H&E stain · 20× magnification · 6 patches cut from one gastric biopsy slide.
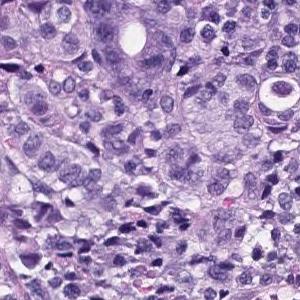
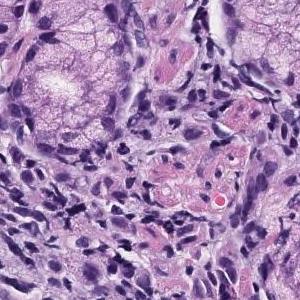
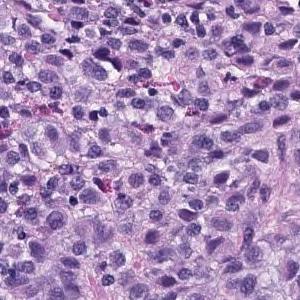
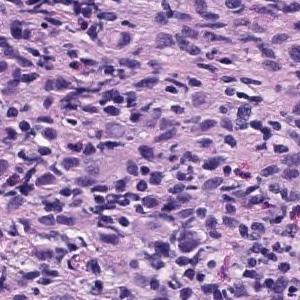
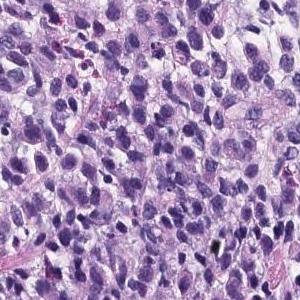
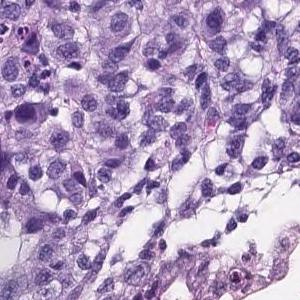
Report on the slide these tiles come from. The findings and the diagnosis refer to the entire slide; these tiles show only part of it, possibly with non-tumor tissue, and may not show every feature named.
There are medium-sized atypical cells with marked nuclear swelling and increased N/C ratio, which grow into solid or isolated scattered cells. Poorly differentiated adenocarcinoma
Histological subtype: Poorly differentiated adenocarcinoma, solid type (Japanese Classification of Gastric Carcinoma). The WHO 2019 equivalent is tubular adenocarcinoma, poorly differentiated.
